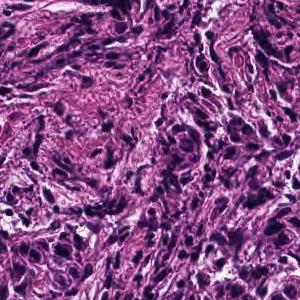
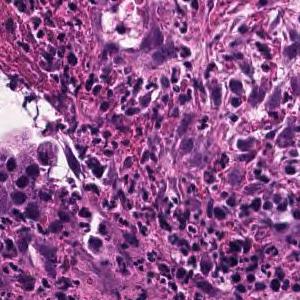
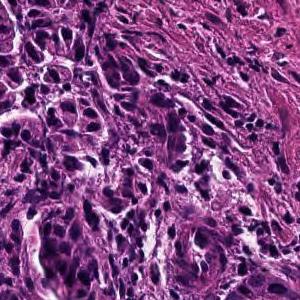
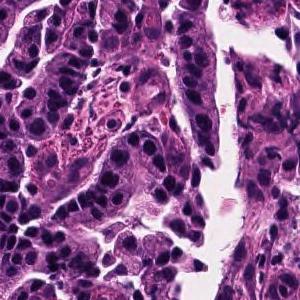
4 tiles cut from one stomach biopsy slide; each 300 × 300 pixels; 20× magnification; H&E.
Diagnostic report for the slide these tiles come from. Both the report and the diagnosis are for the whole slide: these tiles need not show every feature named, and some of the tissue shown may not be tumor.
Tumor cells are large, highly columnar, large club-shaped nuclei, and are associated with chromatin aggregation. Papillary adenocarcinoma.
